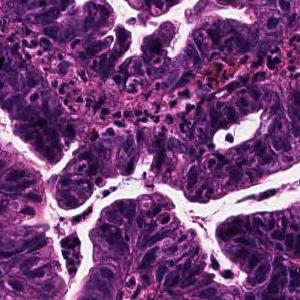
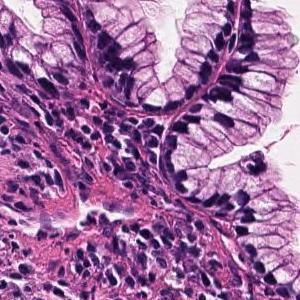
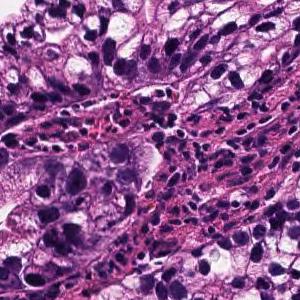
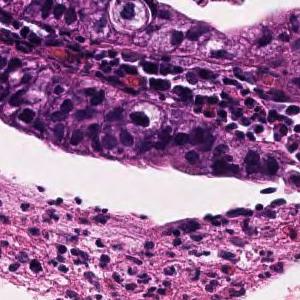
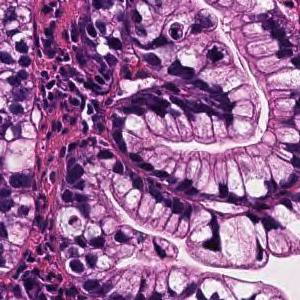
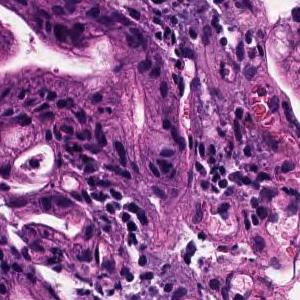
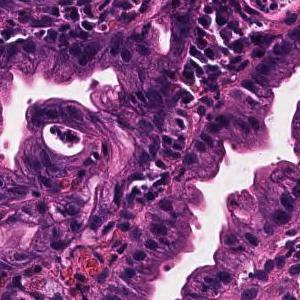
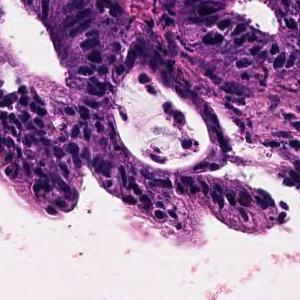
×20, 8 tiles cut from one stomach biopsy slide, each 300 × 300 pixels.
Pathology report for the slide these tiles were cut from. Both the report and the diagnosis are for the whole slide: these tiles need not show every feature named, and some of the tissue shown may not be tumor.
Tumor cells are large, highly columnar, large club-shaped nuclei, and are associated with chromatin aggregation. Papillary adenocarcinoma.
